H&E, 10 image tiles from a single gastric biopsy slide, 300×300 px each.
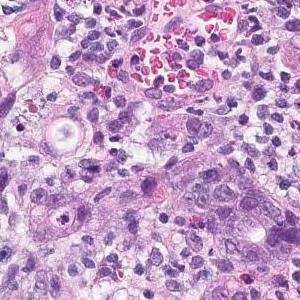
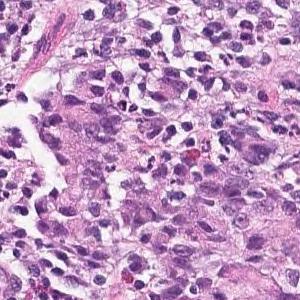
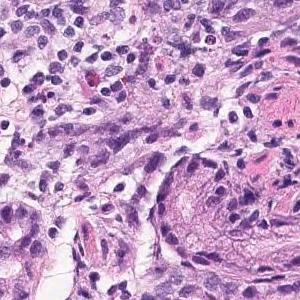
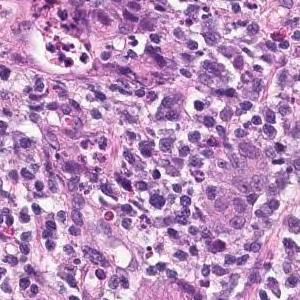
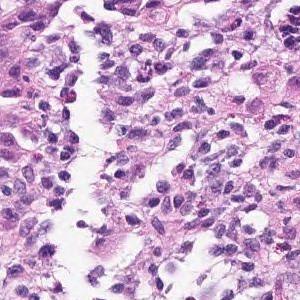
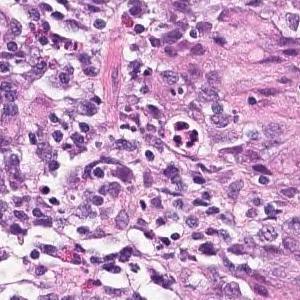
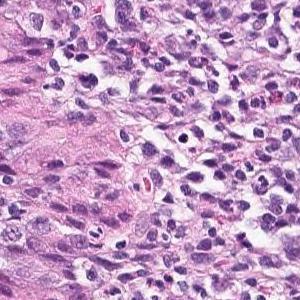
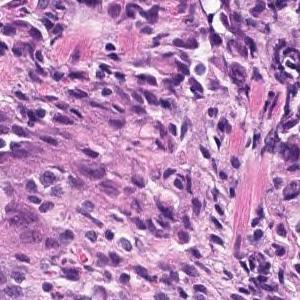
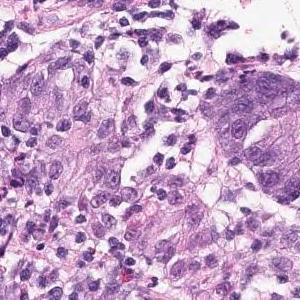
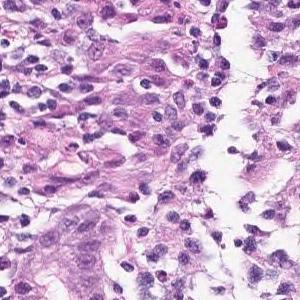
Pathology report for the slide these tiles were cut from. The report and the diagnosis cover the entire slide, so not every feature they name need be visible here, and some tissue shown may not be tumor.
Medium to small atypical epithelial cells that become cord-like or irregularly agglomerated and infiltrate. Poorly differentiated adenocarcinoma
Tumor subtype: poorly differentiated adenocarcinoma, solid type. This name comes from the Japanese Classification of Gastric Carcinoma; the WHO 2019 classification calls it tubular adenocarcinoma, poorly differentiated.
